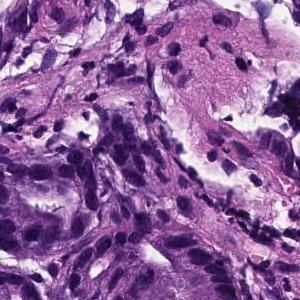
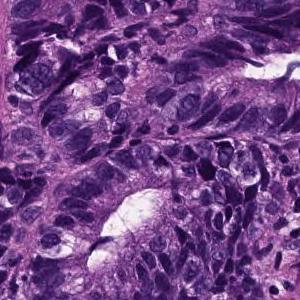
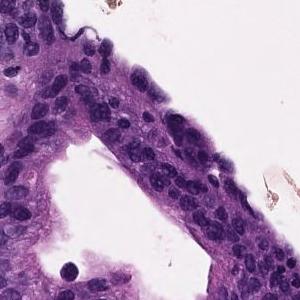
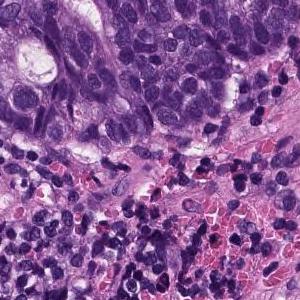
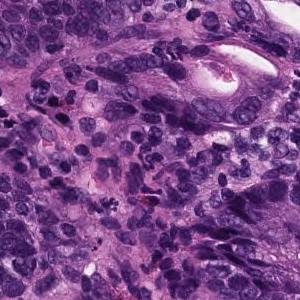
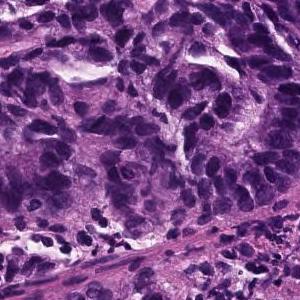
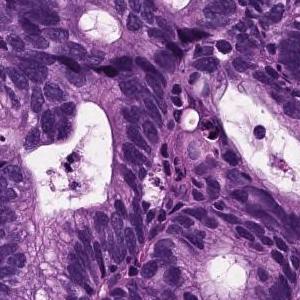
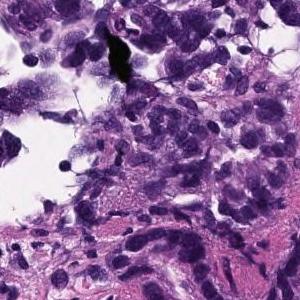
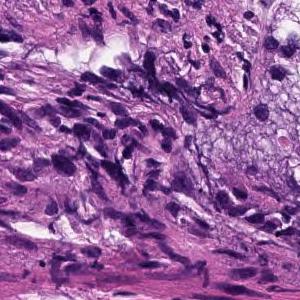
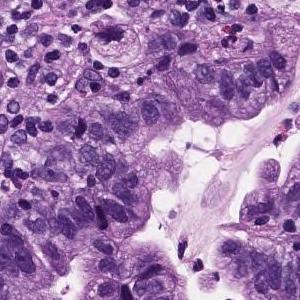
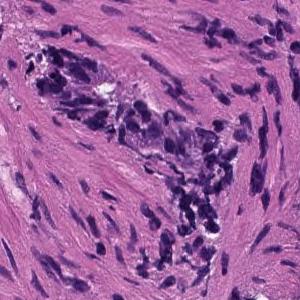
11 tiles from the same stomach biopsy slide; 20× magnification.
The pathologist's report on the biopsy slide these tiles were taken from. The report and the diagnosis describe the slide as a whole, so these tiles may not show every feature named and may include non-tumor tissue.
In the superficial epithelium, tumor tissue that invades by forming medium-sized to small, irregular ducts is observed. Moderately differentiated adenocarcinoma.
Classified as moderately differentiated tubular adenocarcinoma.
